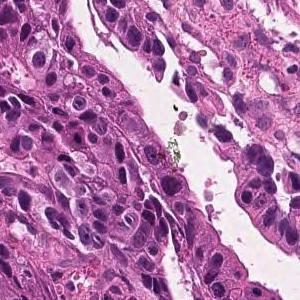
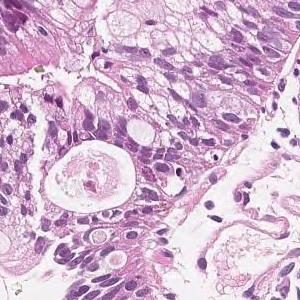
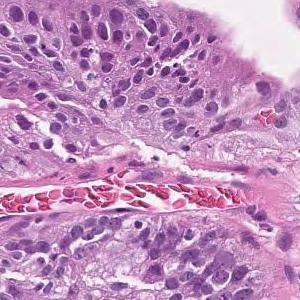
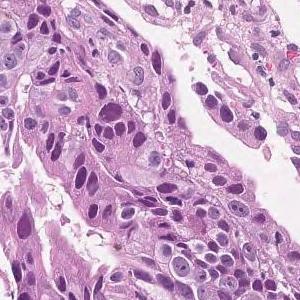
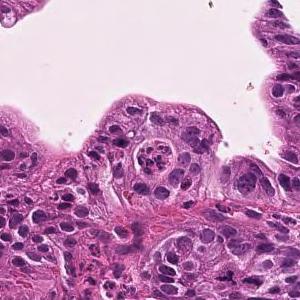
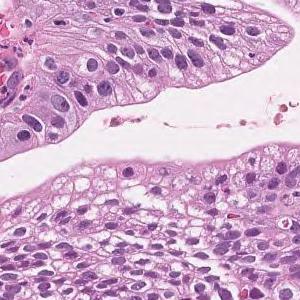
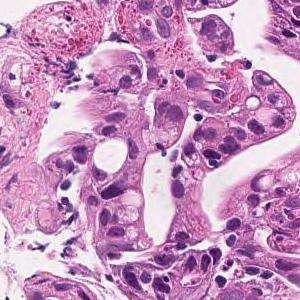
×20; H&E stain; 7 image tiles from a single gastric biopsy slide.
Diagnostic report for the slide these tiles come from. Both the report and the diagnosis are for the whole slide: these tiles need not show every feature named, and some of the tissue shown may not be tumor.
Tumor cells are large, highly columnar, large club-shaped nuclei, and are associated with chromatin aggregation. Papillary adenocarcinoma.
